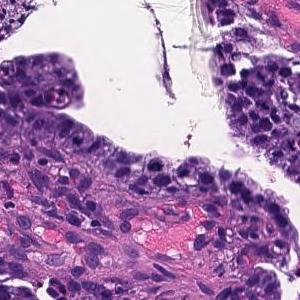
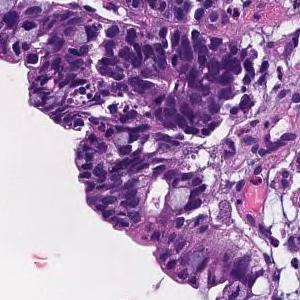
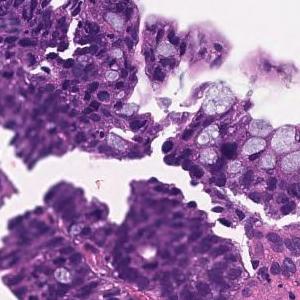
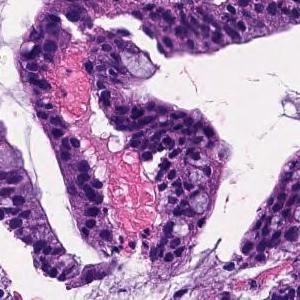
×20; H&E; 4 tiles from the same stomach biopsy slide.
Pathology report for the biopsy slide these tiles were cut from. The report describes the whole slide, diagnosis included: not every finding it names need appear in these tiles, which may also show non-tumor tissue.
Tumor cells are large, highly columnar, large club-shaped nuclei, and are associated with chromatin aggregation. Papillary adenocarcinoma.
